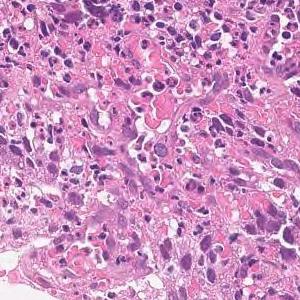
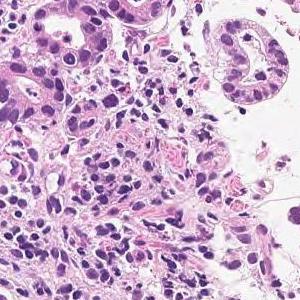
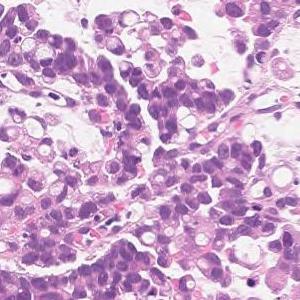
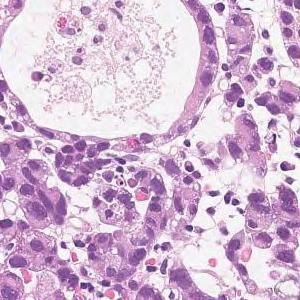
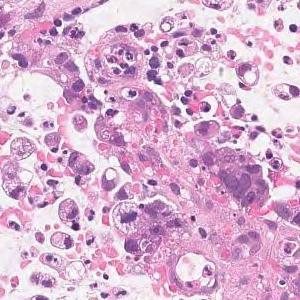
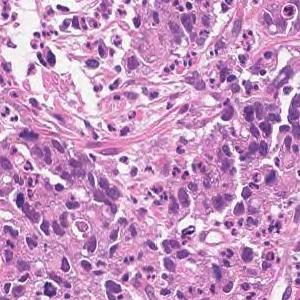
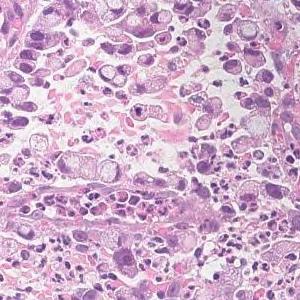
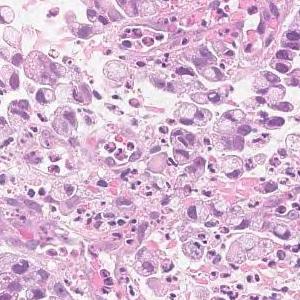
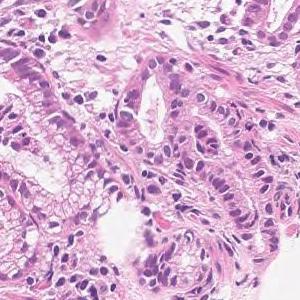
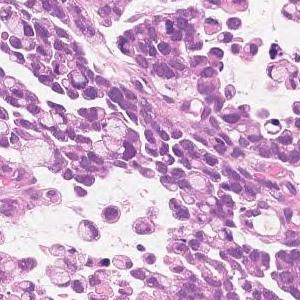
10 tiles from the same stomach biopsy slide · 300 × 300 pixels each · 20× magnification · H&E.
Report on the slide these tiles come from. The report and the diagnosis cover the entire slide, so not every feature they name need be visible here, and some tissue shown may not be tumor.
Medium to small, irregular glandular ducts are formed in the superficial epithelium, and in some cases, the glandular ducts are fused to show solid alveolar lesions and infiltrating tumor tissue is observed. Moderately to poorly differentiated adenocarcinoma.
